×20; 9 tiles cut from one stomach biopsy slide.
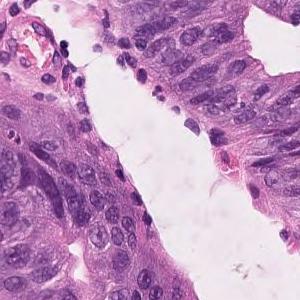
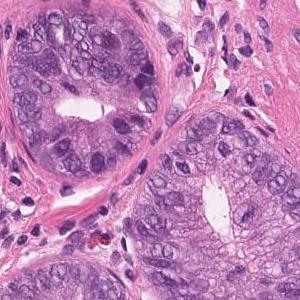
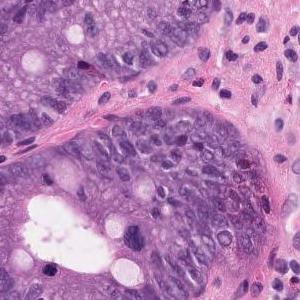
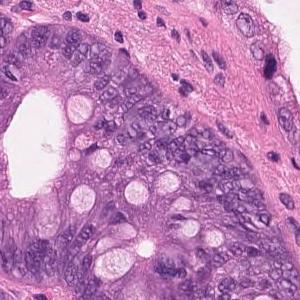
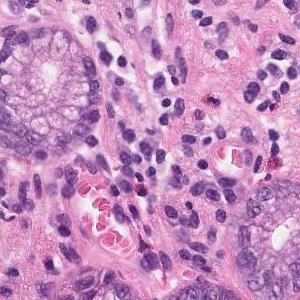
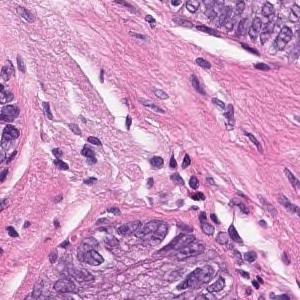
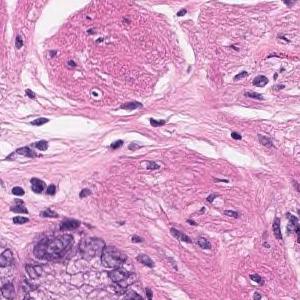
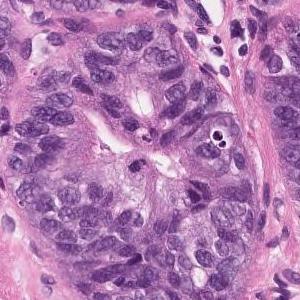
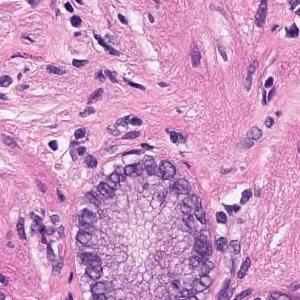
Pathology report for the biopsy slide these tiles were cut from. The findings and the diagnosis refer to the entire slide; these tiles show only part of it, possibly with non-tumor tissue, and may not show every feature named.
Atypical l cells with atypical nuclei forming irregular glandular ducts. Well differentiated tubuar adenocarcinoma (well differentiated tubular adenocarcinoma)
Subtype: Well differentiated tubular adenocarcinoma.
